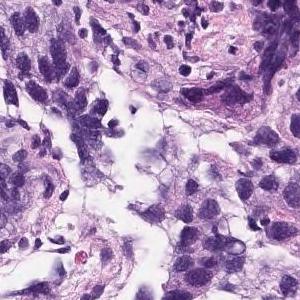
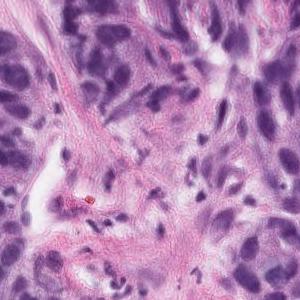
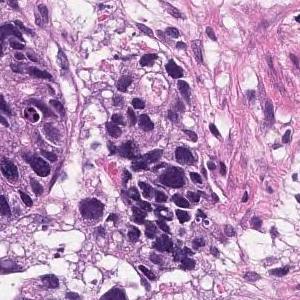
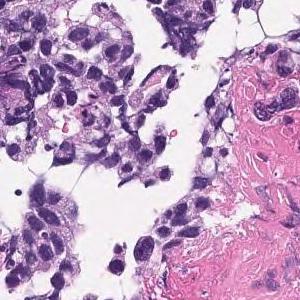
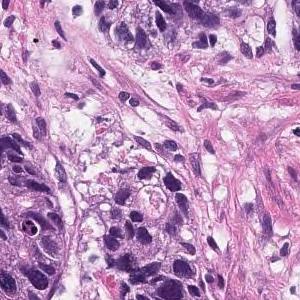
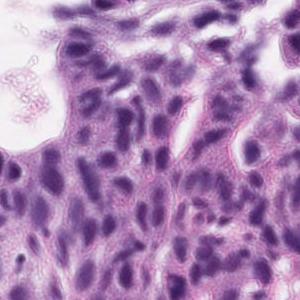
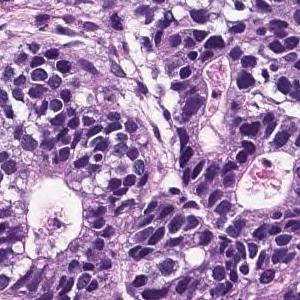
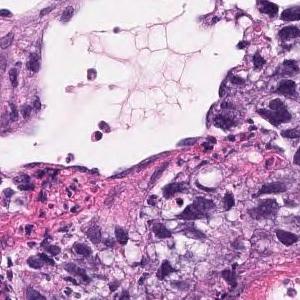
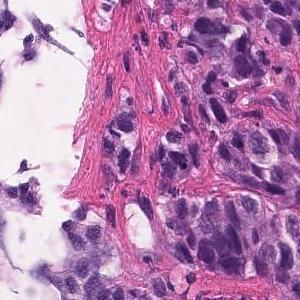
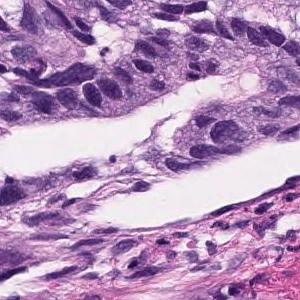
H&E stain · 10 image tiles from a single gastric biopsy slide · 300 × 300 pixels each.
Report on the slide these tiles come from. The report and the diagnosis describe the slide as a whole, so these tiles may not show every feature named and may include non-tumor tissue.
Medium to small, irregular glandular ducts are formed in the superficial epithelium, and in some cases, the glandular ducts are fused to show solid alveolar lesions and infiltrating tumor tissue is observed. Moderately to poorly differentiated adenocarcinoma.
